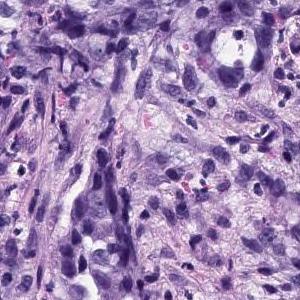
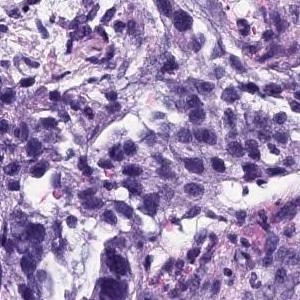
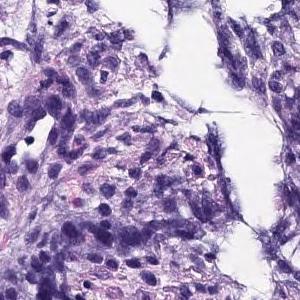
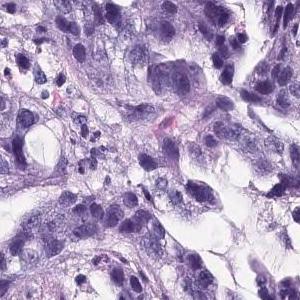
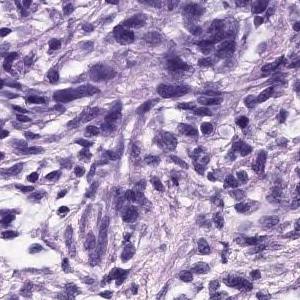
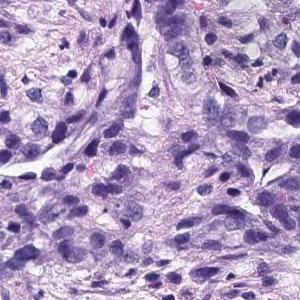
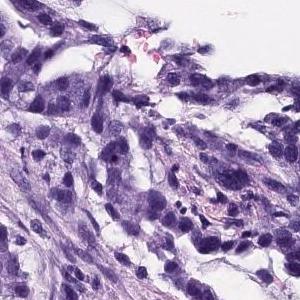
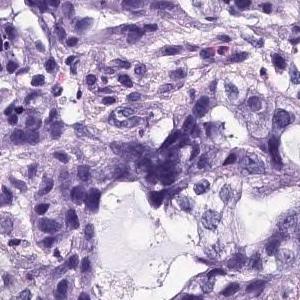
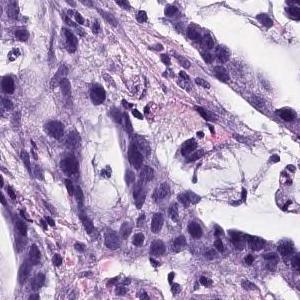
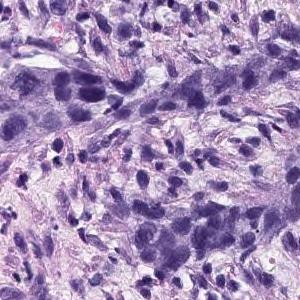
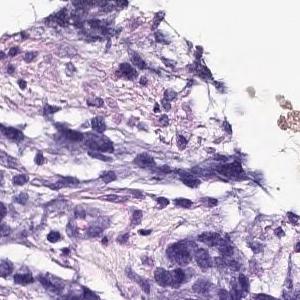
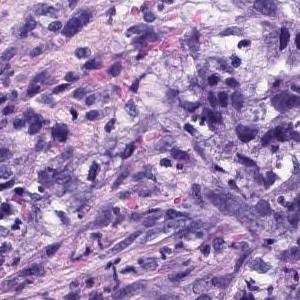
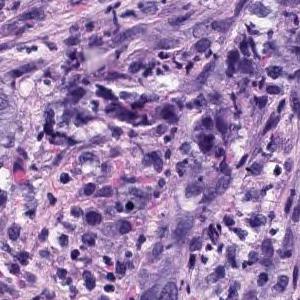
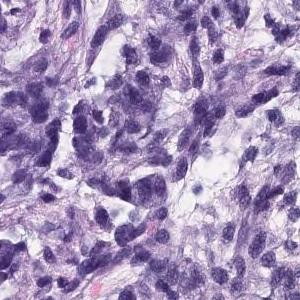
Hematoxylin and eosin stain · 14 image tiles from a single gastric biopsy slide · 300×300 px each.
The pathologist's report on the biopsy slide these tiles were taken from. The report and the diagnosis cover the entire slide, so not every feature they name need be visible here, and some tissue shown may not be tumor.
Atypical l cells with atypical nuclei forming solid or diffuse vesicle nests and proliferating in a complex manner. Poorly differentiated adenocarcinoma, moderately differentiated tubular adenocarcinoma
Tumor subtype: moderately to poorly differentiated adenocarcinoma.
